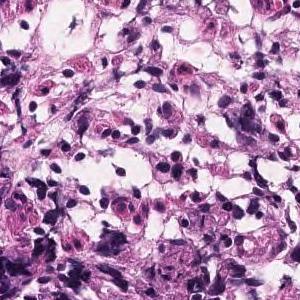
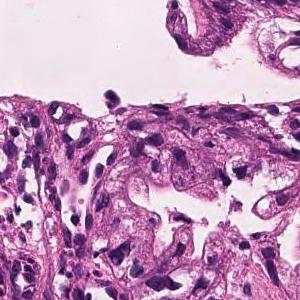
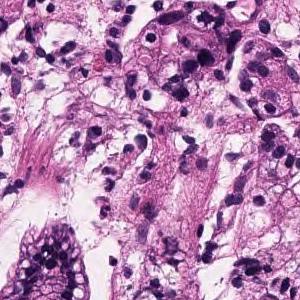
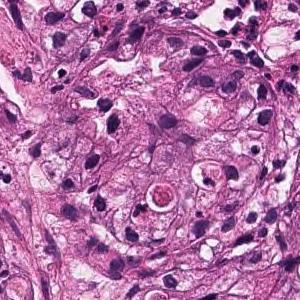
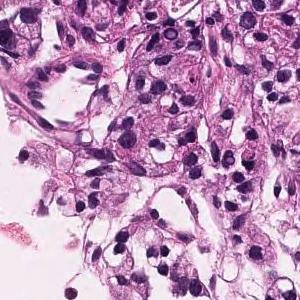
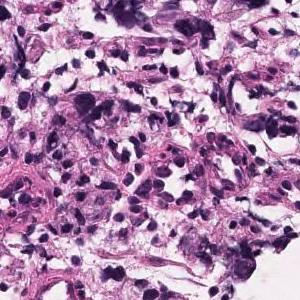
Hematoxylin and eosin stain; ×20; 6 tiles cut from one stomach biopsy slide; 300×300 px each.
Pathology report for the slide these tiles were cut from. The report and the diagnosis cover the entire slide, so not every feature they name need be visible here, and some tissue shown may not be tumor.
Medium to small, irregular glandular ducts are formed in the superficial epithelium, and in some cases, the glandular ducts are fused to show solid alveolar lesions and infiltrating tumor tissue is observed. Moderately to poorly differentiated adenocarcinoma.
